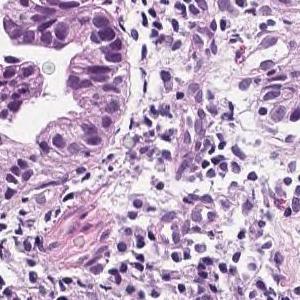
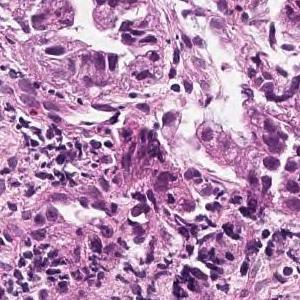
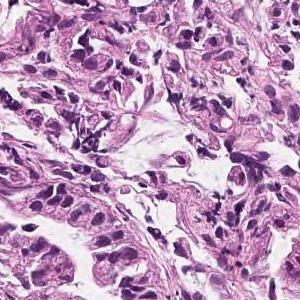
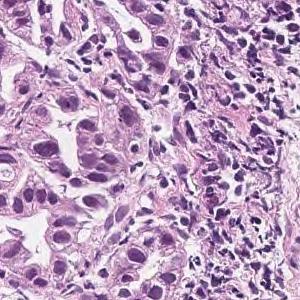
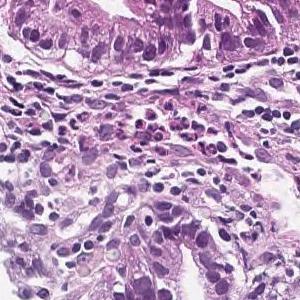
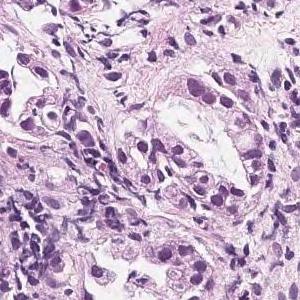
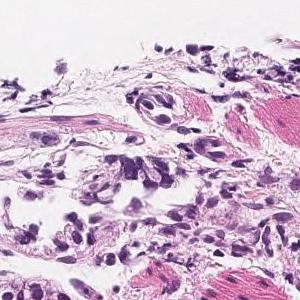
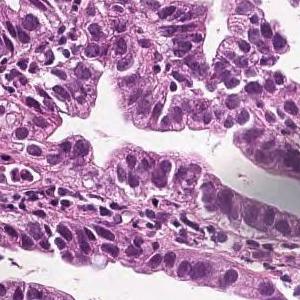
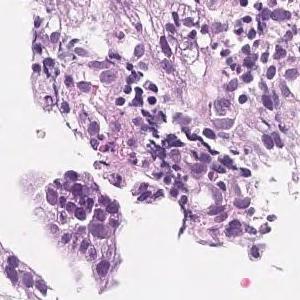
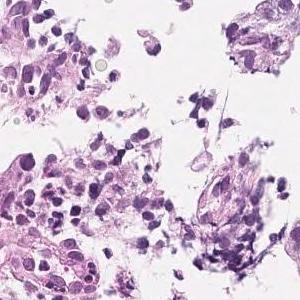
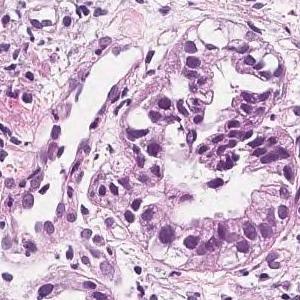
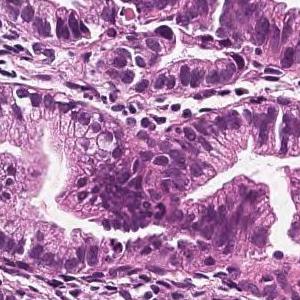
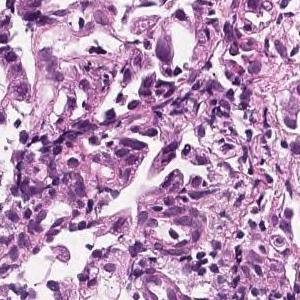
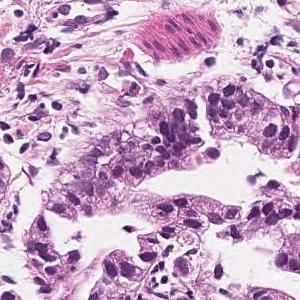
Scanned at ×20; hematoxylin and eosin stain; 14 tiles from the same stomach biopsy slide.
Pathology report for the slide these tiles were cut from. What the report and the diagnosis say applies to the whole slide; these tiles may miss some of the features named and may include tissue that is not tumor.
In the superficial epithelium, tumor tissue that invades by forming medium-sized to small, irregular ducts is observed. moderately differentiated tubular adenocarcinoma.
